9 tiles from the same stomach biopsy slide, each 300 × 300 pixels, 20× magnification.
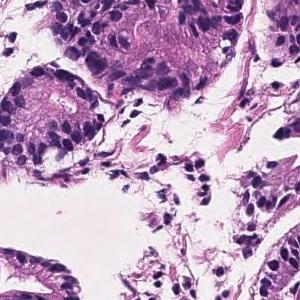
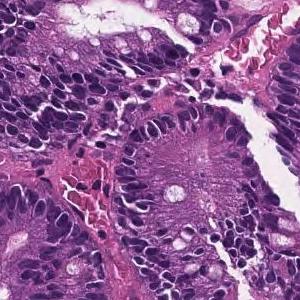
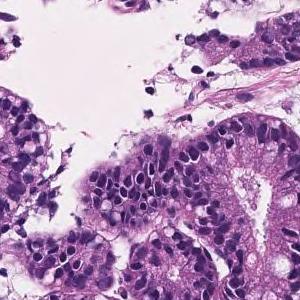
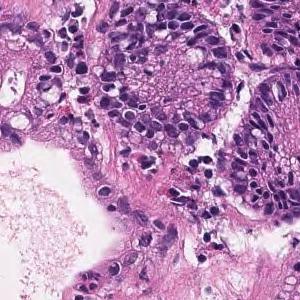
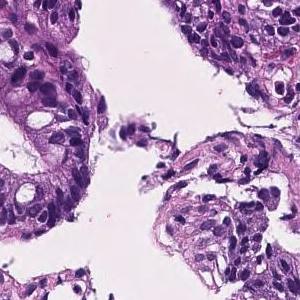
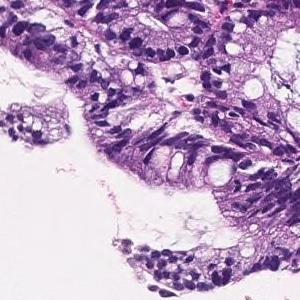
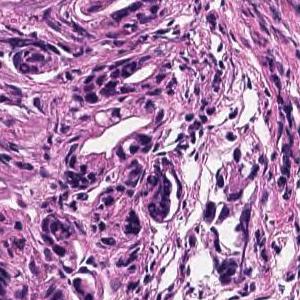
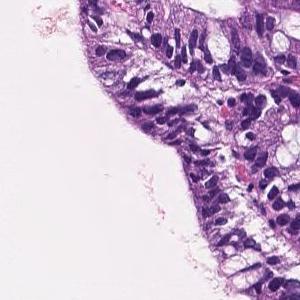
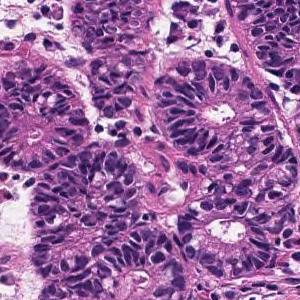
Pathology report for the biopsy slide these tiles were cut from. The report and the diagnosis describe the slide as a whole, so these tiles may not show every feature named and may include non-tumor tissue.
Most remain in the superficial epithelium, forming medium-sized papillary or small irregular ducts and proliferating, and some tumor tissue invades the muscularis mucosae. Papillary adenocarcinoma
